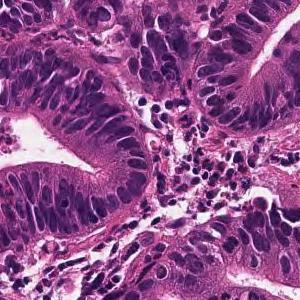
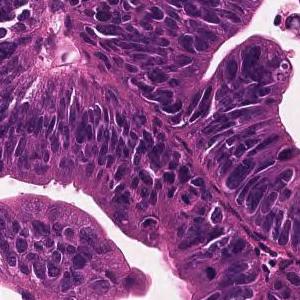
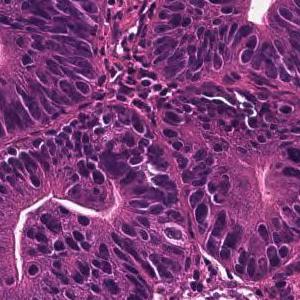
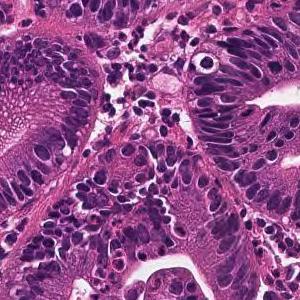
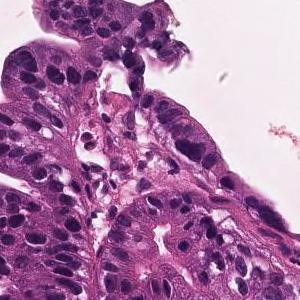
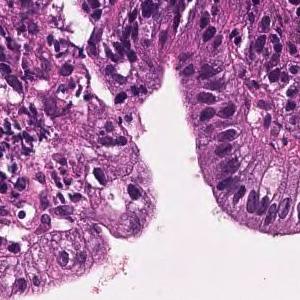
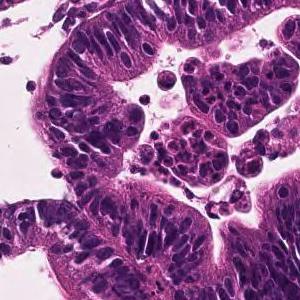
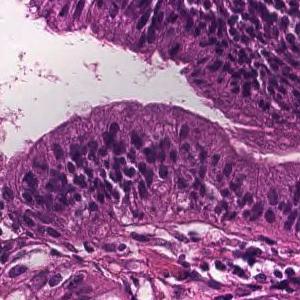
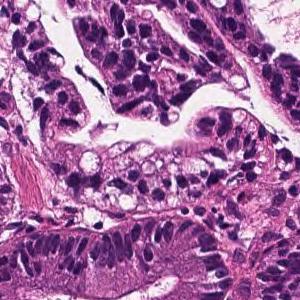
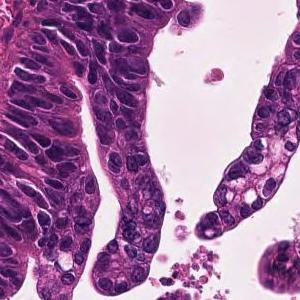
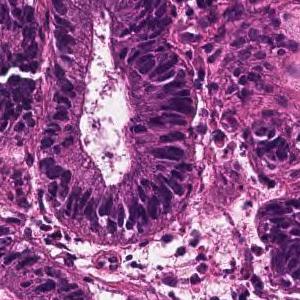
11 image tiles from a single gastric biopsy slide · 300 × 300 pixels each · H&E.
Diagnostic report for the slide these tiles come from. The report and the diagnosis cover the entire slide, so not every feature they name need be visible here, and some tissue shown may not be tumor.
A large irregular tubular structure is exhibited in the epithelium, and tumor tissue that partially fuses and infiltrates and proliferates is observed. Large columnar tumor cells exhibit enlarged nucleus, hyperchromatism, and mitotic figures. Well differentiated tubular adenocarcinoma
